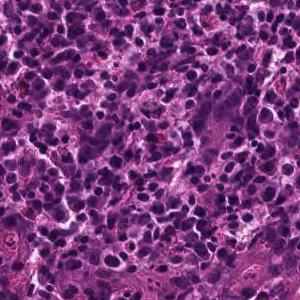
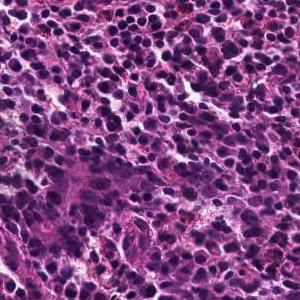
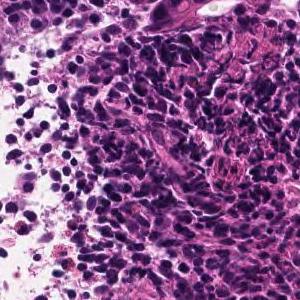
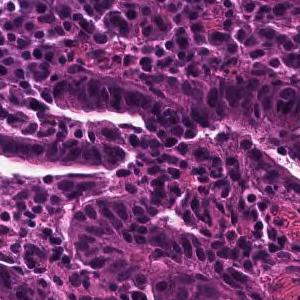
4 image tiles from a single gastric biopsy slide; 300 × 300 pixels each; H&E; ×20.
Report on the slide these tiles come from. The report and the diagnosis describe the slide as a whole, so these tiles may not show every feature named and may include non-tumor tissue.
Tumor tissue consisting of medium-sized, cord-like or irregular glandular infiltration is observed in the superficial epithelium. Poorly differentiated adenocarcinoma, non-solid type or moderately differentiated tubular adenocarcinoma
Dataset label: poorly differentiated adenocarcinoma, non-solid type.
The term "non-solid type" comes from the Japanese Classification of Gastric Carcinoma.
